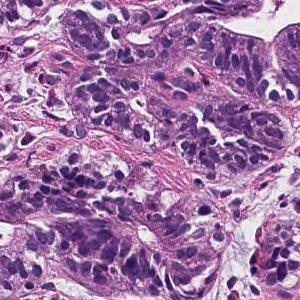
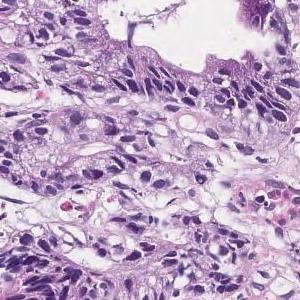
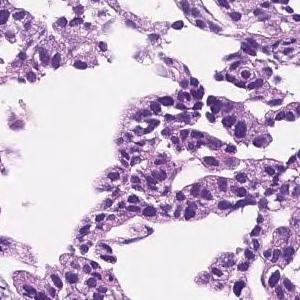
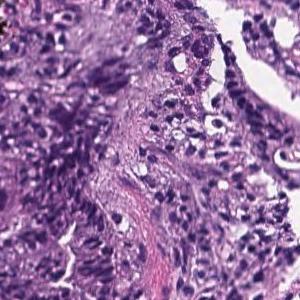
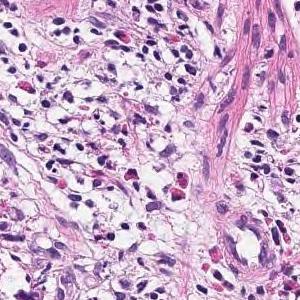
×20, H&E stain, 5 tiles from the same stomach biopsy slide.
Report on the slide these tiles come from. The report and the diagnosis cover the entire slide, so not every feature they name need be visible here, and some tissue shown may not be tumor.
In the superficial epithelium, tumor tissue that invades by forming medium-sized to small, irregular ducts is observed. Moderately differentiated adenocarcinoma.
Histological subtype: Moderately differentiated tubular adenocarcinoma.
